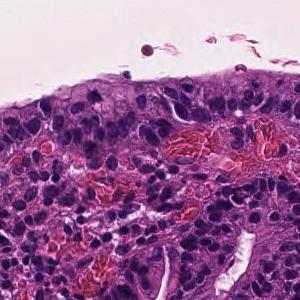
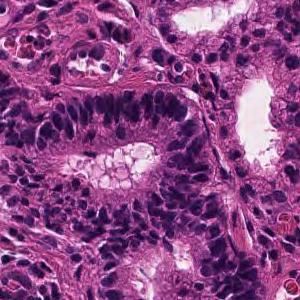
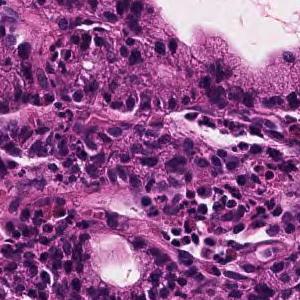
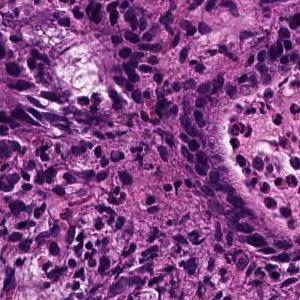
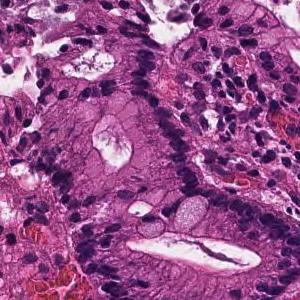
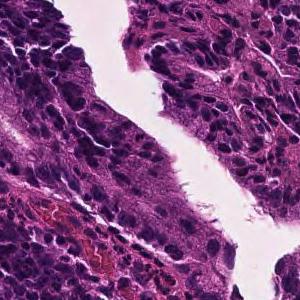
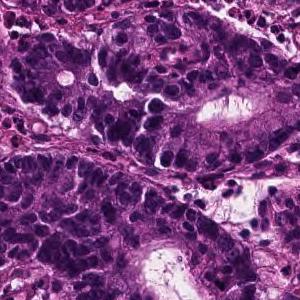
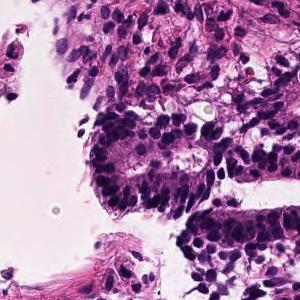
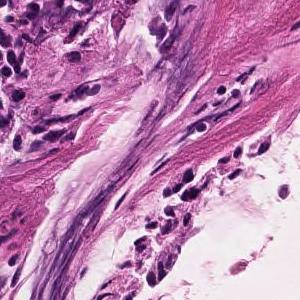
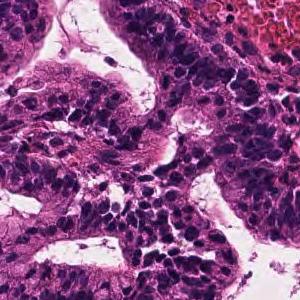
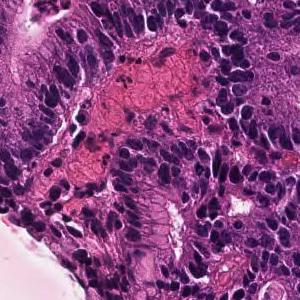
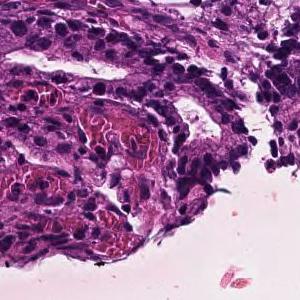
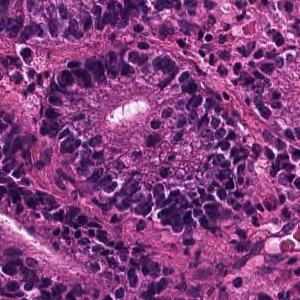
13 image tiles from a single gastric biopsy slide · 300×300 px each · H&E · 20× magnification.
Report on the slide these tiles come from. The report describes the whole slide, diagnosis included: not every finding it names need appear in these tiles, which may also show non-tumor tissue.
In the superficial epithelium, tumor tissue that invades by forming medium-sized to small, irregular ducts is observed. moderately differentiated tubular adenocarcinoma.
